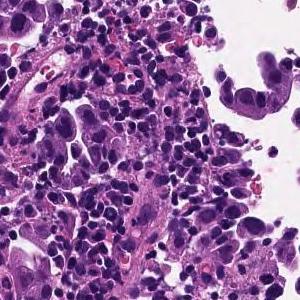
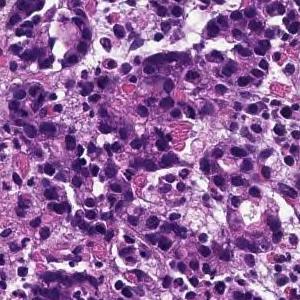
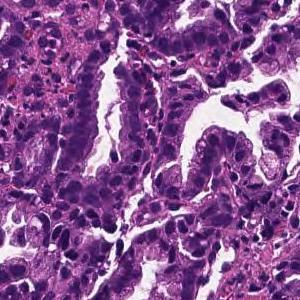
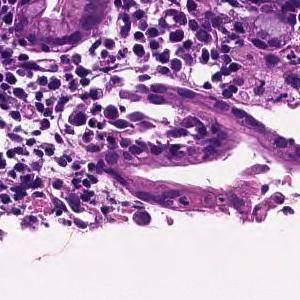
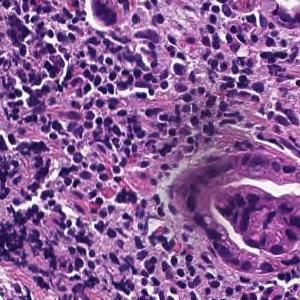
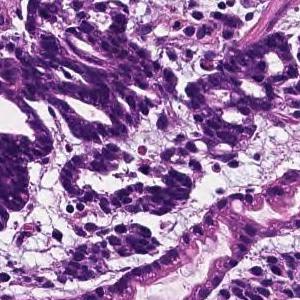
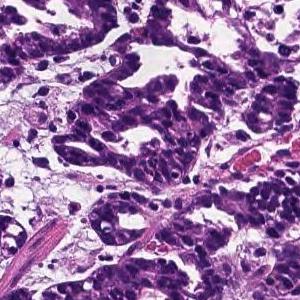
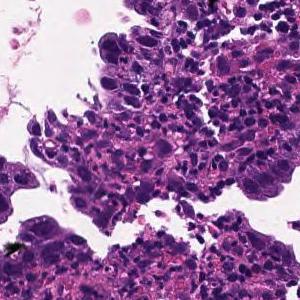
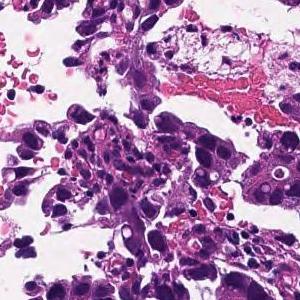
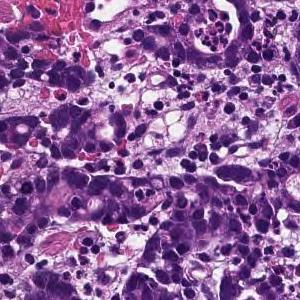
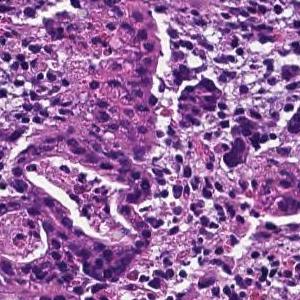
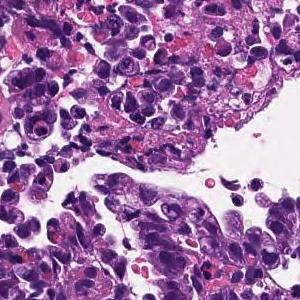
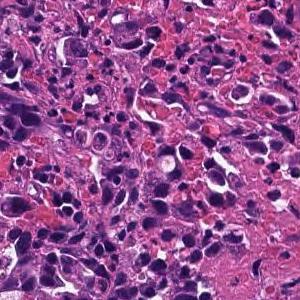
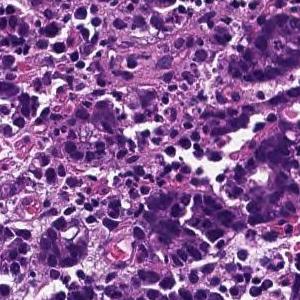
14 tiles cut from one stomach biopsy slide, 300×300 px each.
Pathology report for the slide these tiles were cut from. The findings and the diagnosis refer to the entire slide; these tiles show only part of it, possibly with non-tumor tissue, and may not show every feature named.
In the superficial epithelium, tumor tissue that invades by forming medium-sized to small, irregular ducts is observed. moderately differentiated tubular adenocarcinoma.
